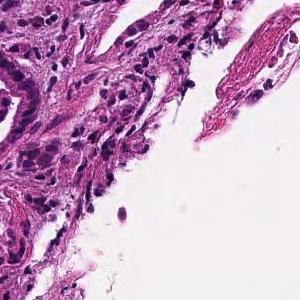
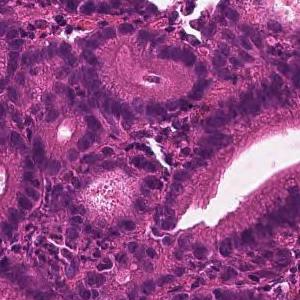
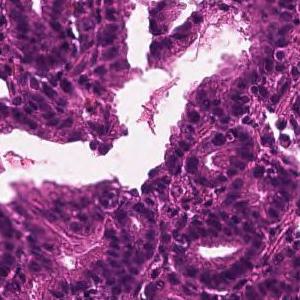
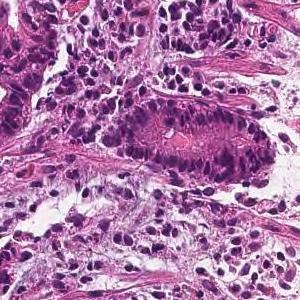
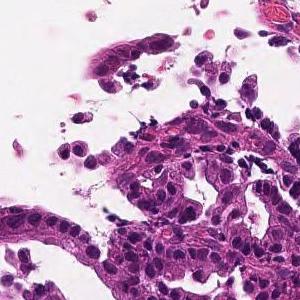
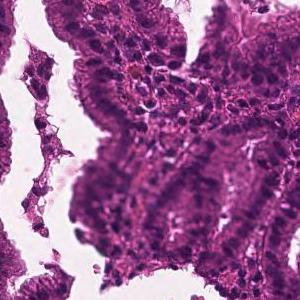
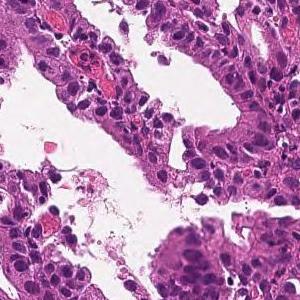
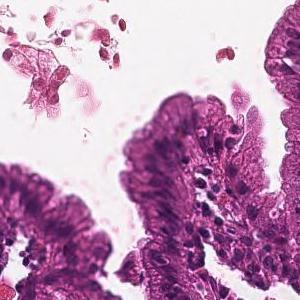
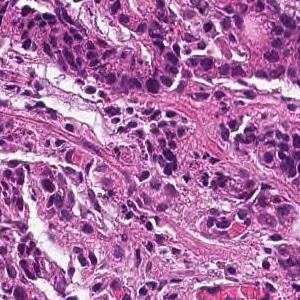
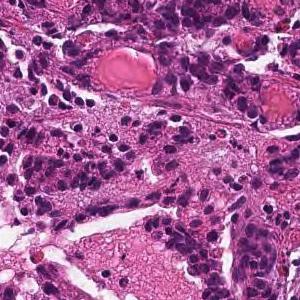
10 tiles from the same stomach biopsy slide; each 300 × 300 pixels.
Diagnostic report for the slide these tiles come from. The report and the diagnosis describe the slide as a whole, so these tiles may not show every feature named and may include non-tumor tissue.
From the superficial epithelium to the muscularis mucosae, tumor tissue consisting of medium-sized and irregular glandular ducts infiltrating is observed. Well differentiated tubular adenocarcinoma
